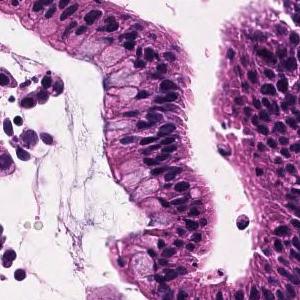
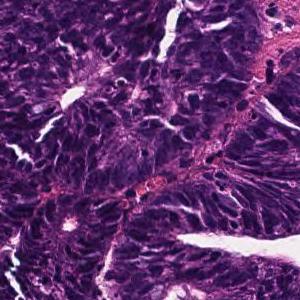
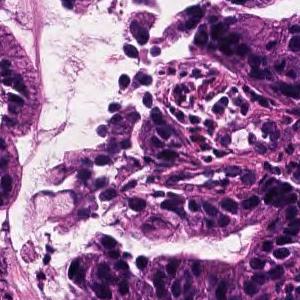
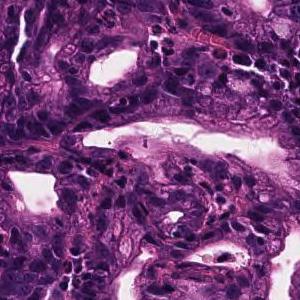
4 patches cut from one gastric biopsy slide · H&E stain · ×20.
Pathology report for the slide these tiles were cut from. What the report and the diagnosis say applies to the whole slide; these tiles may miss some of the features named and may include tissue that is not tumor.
Tumor cells are large, highly columnar, large club-shaped nuclei, and are associated with chromatin aggregation. Papillary adenocarcinoma.
